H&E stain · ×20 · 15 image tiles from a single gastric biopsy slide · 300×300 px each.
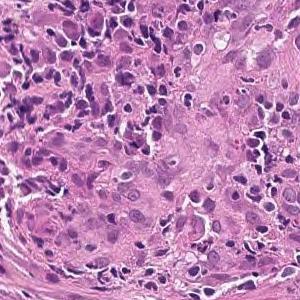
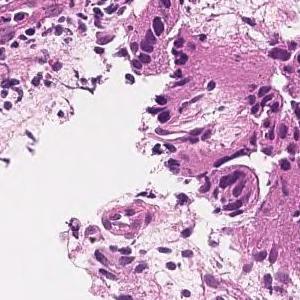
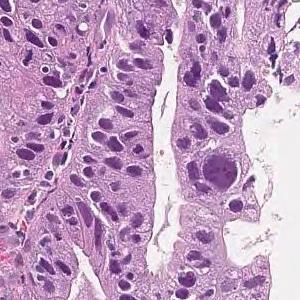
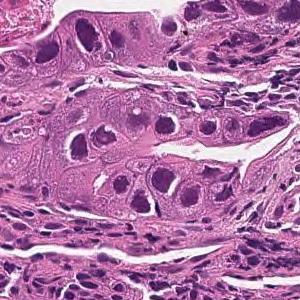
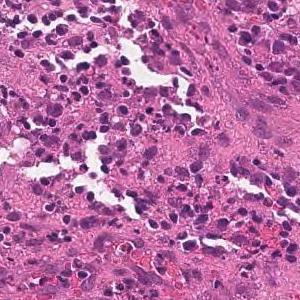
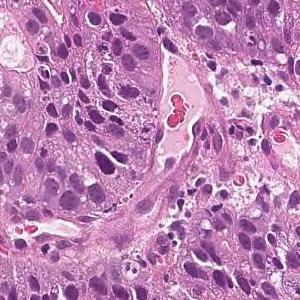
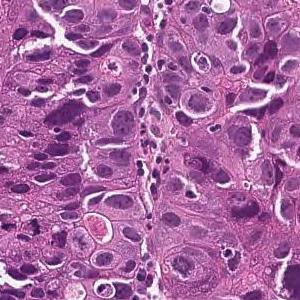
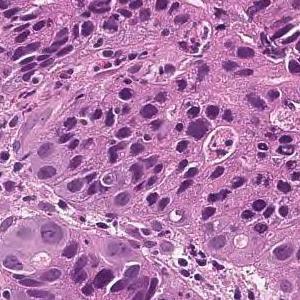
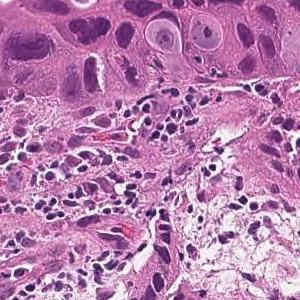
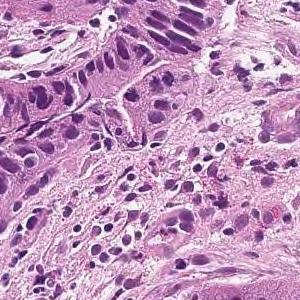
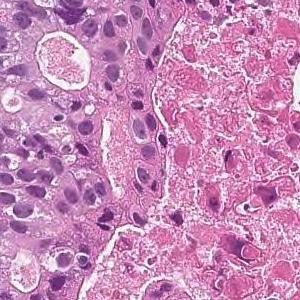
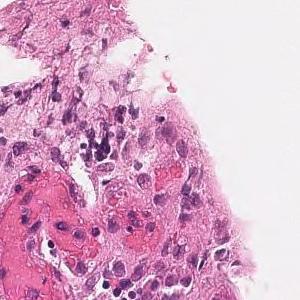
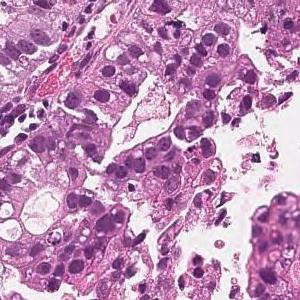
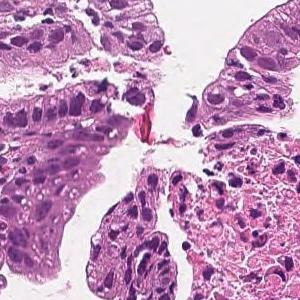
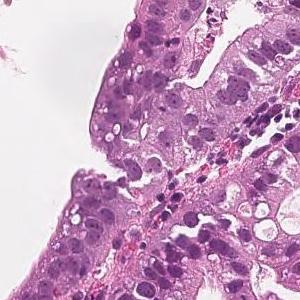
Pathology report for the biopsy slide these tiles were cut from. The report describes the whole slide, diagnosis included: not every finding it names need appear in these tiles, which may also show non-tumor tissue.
In the superficial epithelium, tumor tissue that invades by forming medium-sized to small, irregular ducts is observed. moderately differentiated tubular adenocarcinoma.
